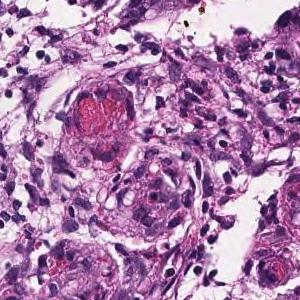
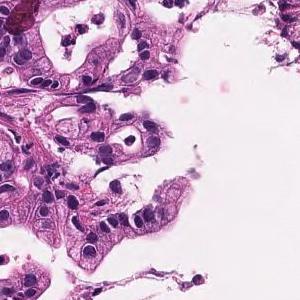
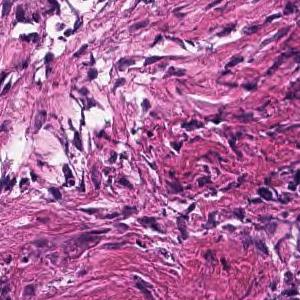
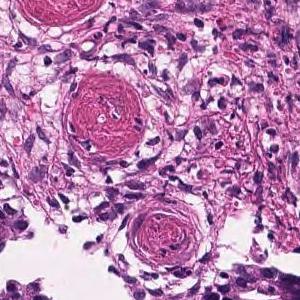
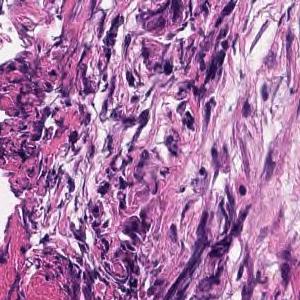
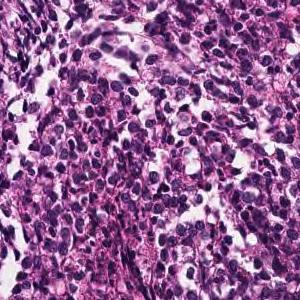
Hematoxylin and eosin stain · 6 image tiles from a single gastric biopsy slide.
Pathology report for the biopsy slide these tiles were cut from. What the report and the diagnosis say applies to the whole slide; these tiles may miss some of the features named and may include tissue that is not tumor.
In the superficial epithelium, medium to small, irregular gland ducts are formed, and in some cases, the gland ducts are fused to show solid alveolar lesions and infiltrating tumor tissue is observed. Moderately to poorly differentiated adenocarcinoma.
